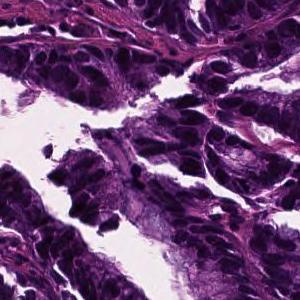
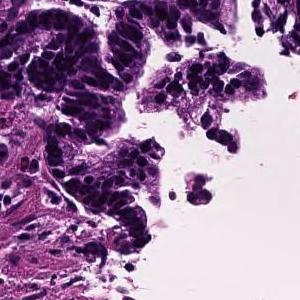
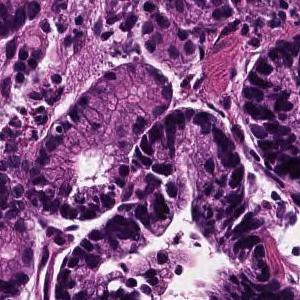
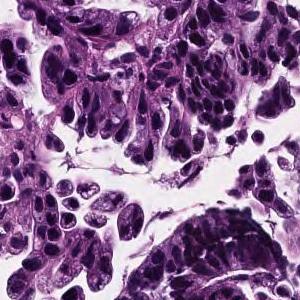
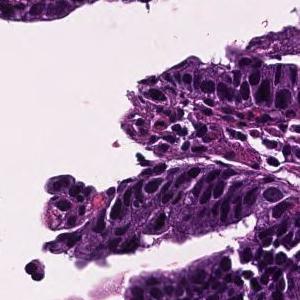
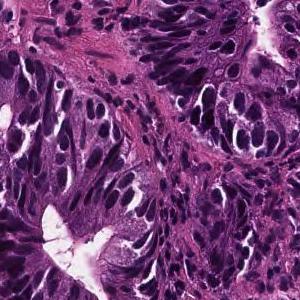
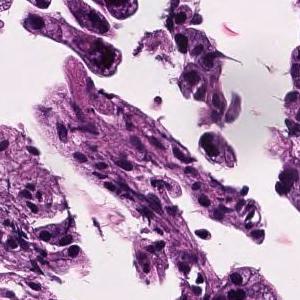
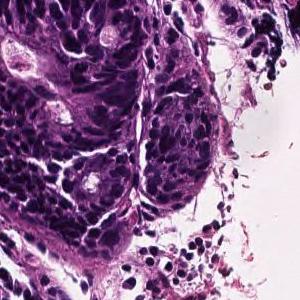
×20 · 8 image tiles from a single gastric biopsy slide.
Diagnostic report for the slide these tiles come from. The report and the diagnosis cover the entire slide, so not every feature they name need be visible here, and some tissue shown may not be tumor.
In the superficial epithelium, tumor tissue that invades by forming medium-sized to small, irregular ducts is observed. Well differentiated tubular adenocarcinoma.
